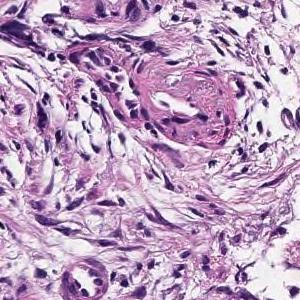
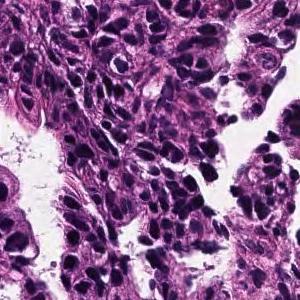
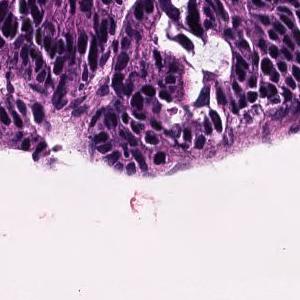
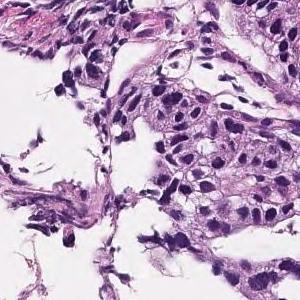
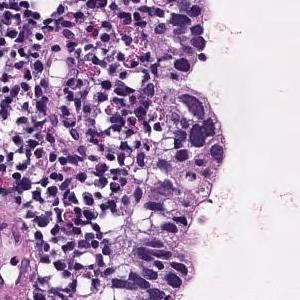
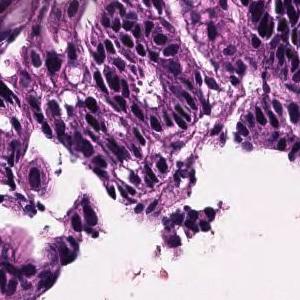
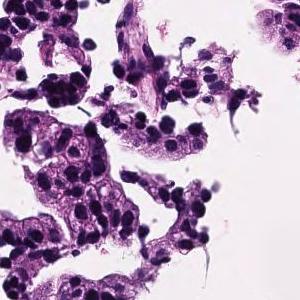
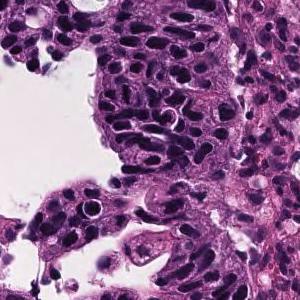
8 image tiles from a single gastric biopsy slide · hematoxylin and eosin stain · 20× magnification.
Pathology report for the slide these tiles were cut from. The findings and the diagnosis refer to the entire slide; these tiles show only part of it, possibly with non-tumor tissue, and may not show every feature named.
Tumor cells are large, highly columnar, large club-shaped nuclei, and are associated with chromatin aggregation. Papillary adenocarcinoma.
